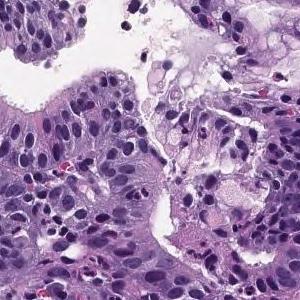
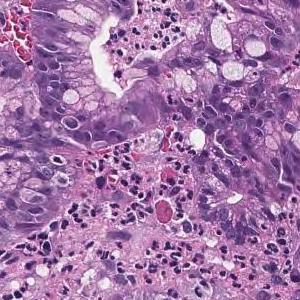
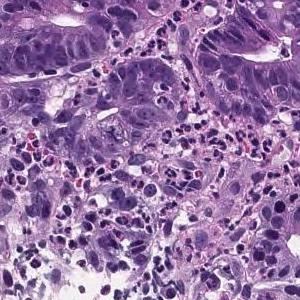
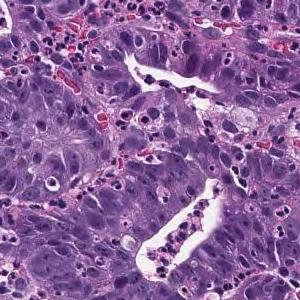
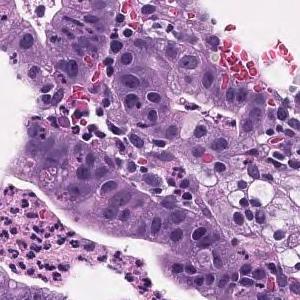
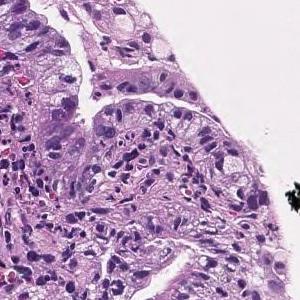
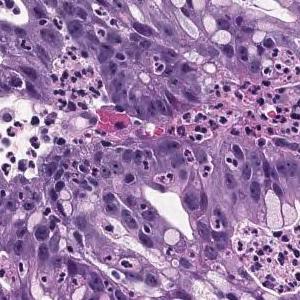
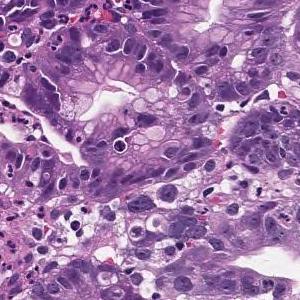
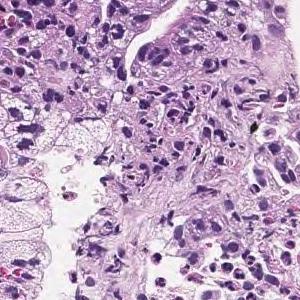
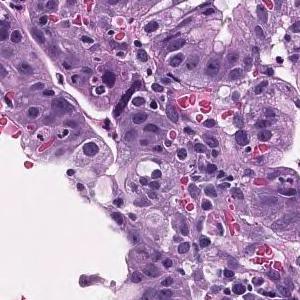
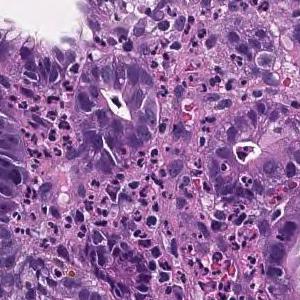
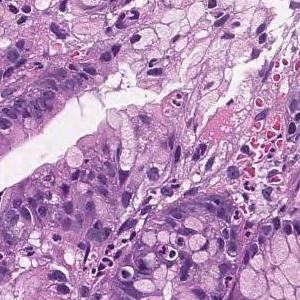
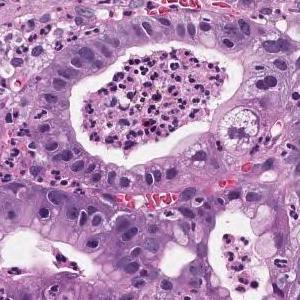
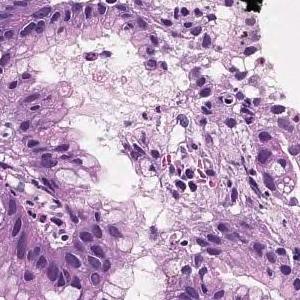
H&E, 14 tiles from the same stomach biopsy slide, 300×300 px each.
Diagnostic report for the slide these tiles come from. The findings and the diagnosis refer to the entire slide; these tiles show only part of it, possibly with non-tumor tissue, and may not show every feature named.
In the superficial epithelium, tumor tissue that invades by forming medium-sized to small, irregular ducts is observed. Well differentiated tubular adenocarcinoma.
